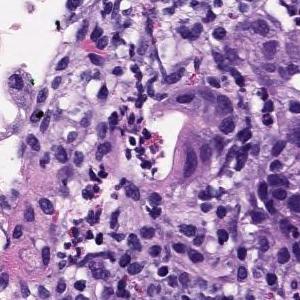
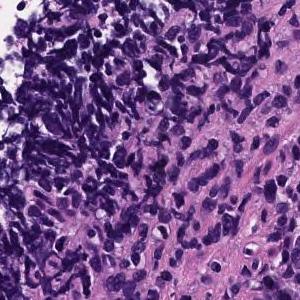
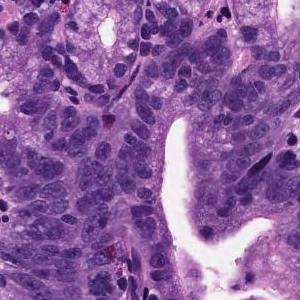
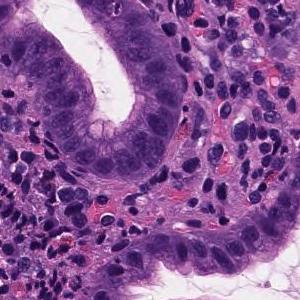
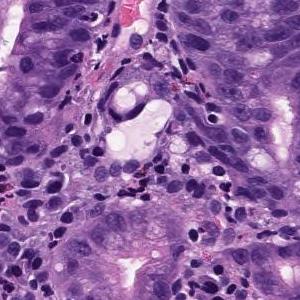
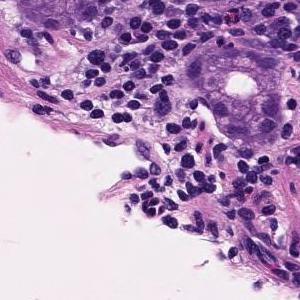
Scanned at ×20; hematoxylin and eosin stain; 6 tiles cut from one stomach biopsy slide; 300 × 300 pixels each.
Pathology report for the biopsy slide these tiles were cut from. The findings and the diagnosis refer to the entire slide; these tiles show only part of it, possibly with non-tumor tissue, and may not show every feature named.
Medium to small, irregular glandular ducts are formed in the superficial epithelium, and in some cases, the glandular ducts are fused to show solid alveolar lesions and infiltrating tumor tissue is observed. Moderately to poorly differentiated adenocarcinoma.
